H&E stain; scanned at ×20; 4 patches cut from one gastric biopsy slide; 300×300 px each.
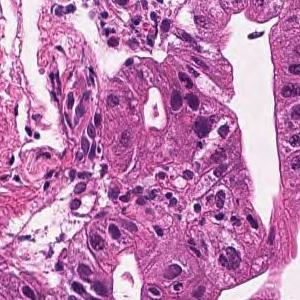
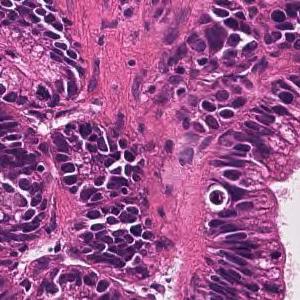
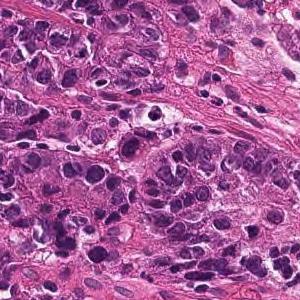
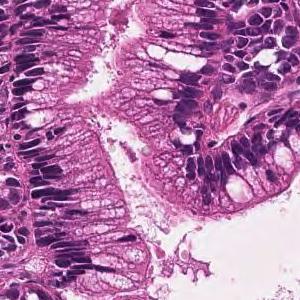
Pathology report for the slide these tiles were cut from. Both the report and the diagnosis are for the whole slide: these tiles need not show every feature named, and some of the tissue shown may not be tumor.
In the superficial epithelium, tumor tissue that invades by forming medium-sized to small, irregular ducts is observed. moderately differentiated tubular adenocarcinoma.
